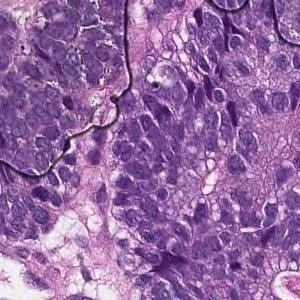
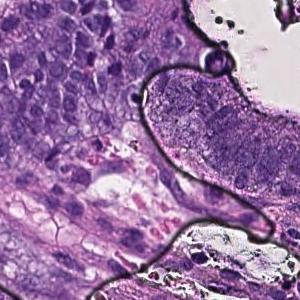
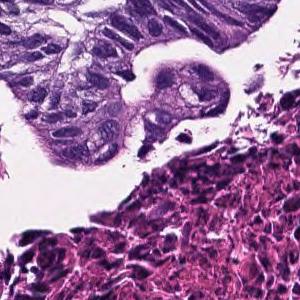
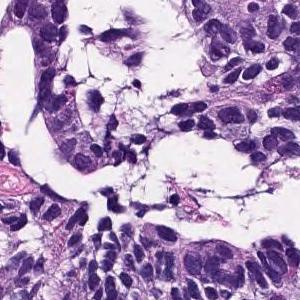
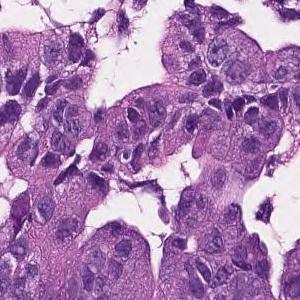
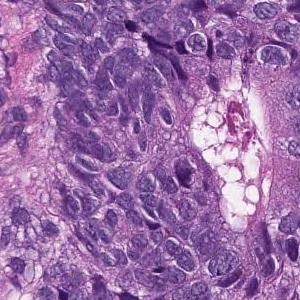
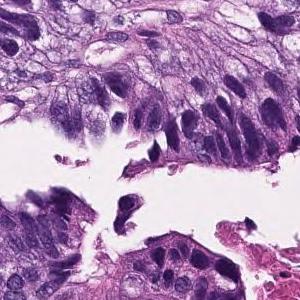
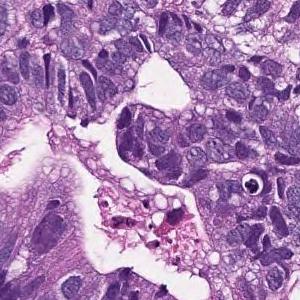
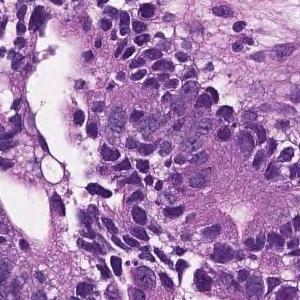
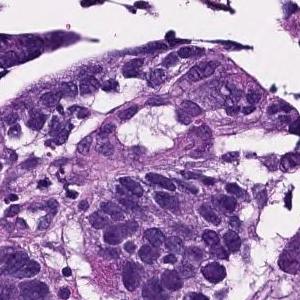
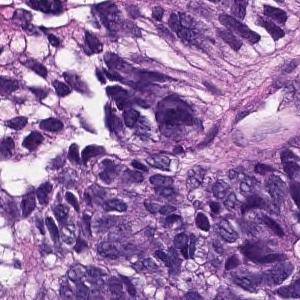
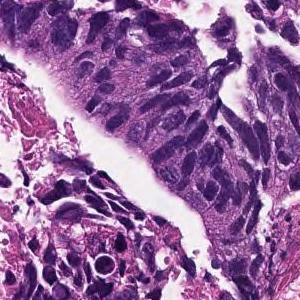
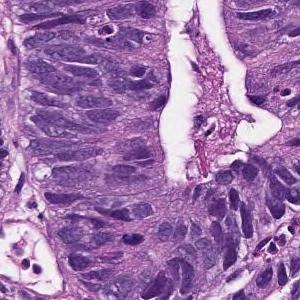
H&E stain; scanned at ×20; 13 patches cut from one gastric biopsy slide.
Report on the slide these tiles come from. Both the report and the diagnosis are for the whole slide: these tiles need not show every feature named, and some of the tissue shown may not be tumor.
In the superficial epithelium, tumor tissue that invades by forming medium-sized to small, irregular ducts is observed. moderately differentiated tubular adenocarcinoma.
